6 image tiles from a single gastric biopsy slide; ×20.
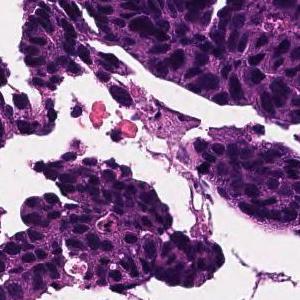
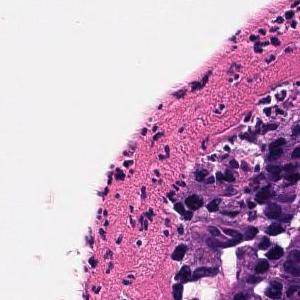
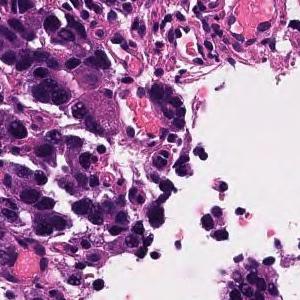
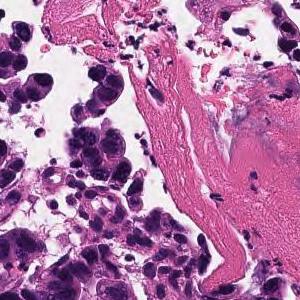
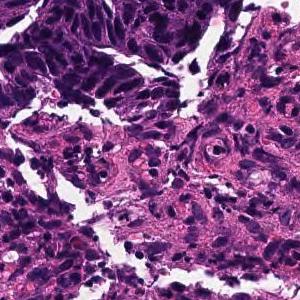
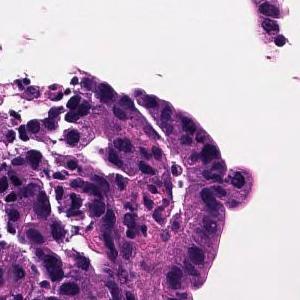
Diagnostic report for the slide these tiles come from. The report and the diagnosis describe the slide as a whole, so these tiles may not show every feature named and may include non-tumor tissue.
In the superficial epithelium, tumor tissue that invades by forming medium-sized to small, irregular ducts is observed. moderately differentiated tubular adenocarcinoma.
